6 patches cut from one gastric biopsy slide, 300 × 300 pixels each, H&E stain, ×20.
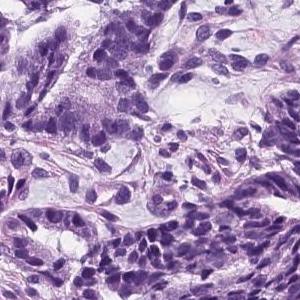
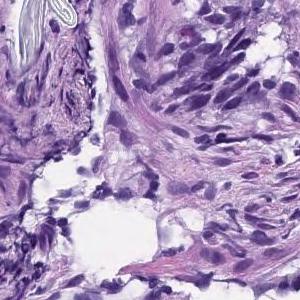
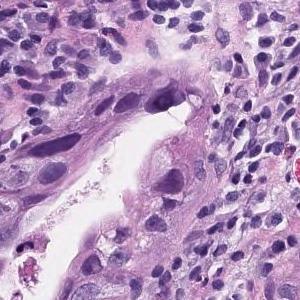
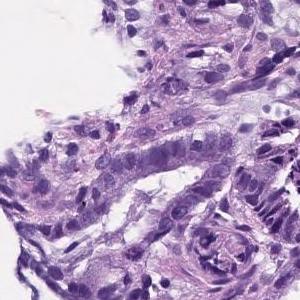
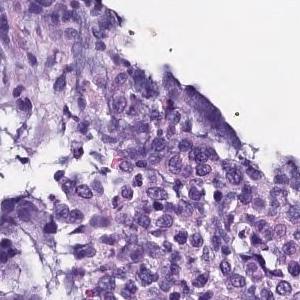
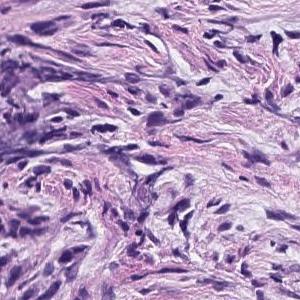
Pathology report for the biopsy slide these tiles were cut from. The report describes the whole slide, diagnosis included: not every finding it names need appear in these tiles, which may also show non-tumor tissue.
In the superficial epithelium, tumor tissue that invades by forming medium-sized to small, irregular ducts is observed. Moderately differentiated adenocarcinoma.
Classified as moderately differentiated tubular adenocarcinoma.
